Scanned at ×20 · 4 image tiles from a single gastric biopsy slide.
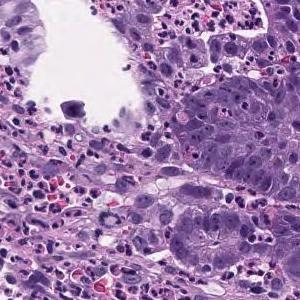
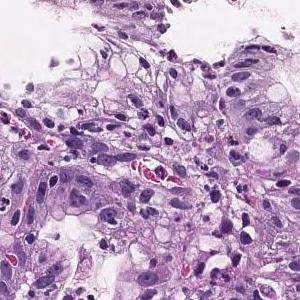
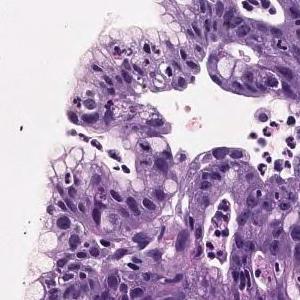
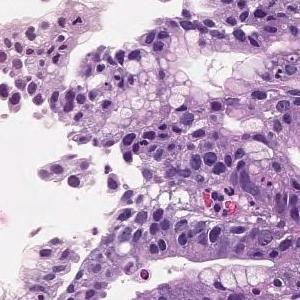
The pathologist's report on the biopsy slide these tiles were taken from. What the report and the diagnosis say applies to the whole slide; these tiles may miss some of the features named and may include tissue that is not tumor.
In the superficial epithelium, tumor tissue that invades by forming medium-sized to small, irregular ducts is observed. Well differentiated tubular adenocarcinoma.
